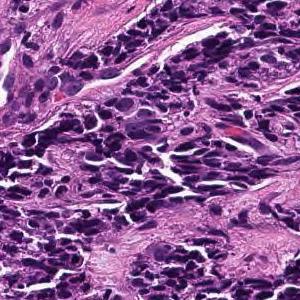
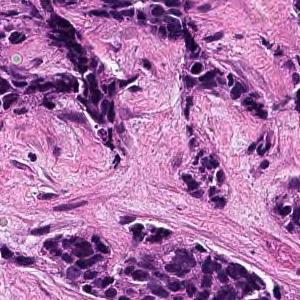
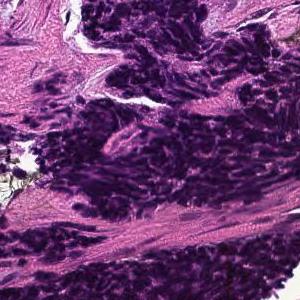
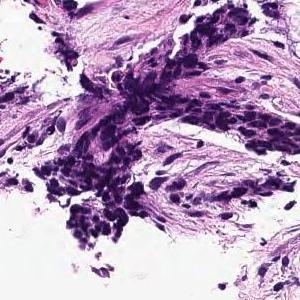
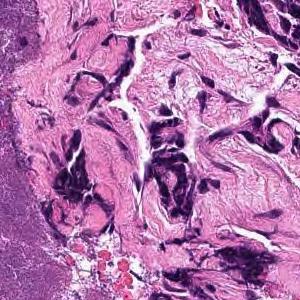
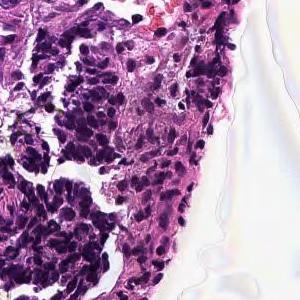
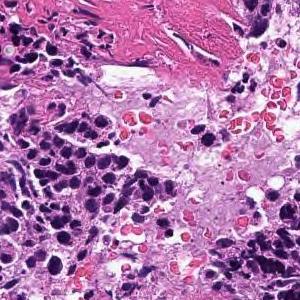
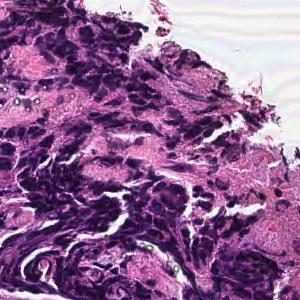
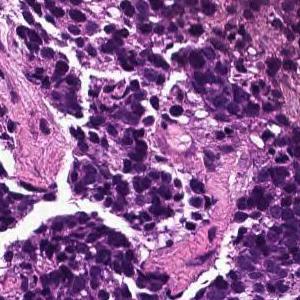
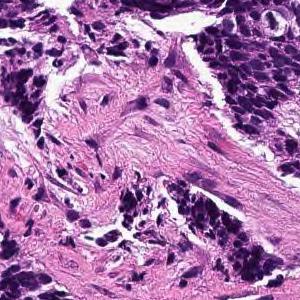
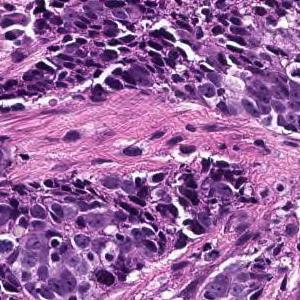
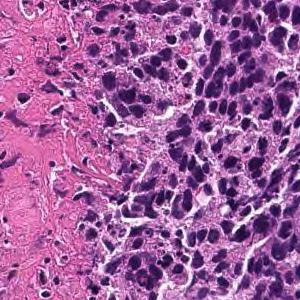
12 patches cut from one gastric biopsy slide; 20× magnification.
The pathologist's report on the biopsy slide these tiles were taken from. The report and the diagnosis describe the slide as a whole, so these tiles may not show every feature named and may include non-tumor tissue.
The superficial epithelium shows a large sheet or alveolar shape, and tumor tissue infiltrating without irregular ducts is observed. Poorly differentiated adenocarcinoma, solid-type
Histologic type: Poorly differentiated adenocarcinoma, solid type (Japanese Classification of Gastric Carcinoma). The WHO 2019 equivalent is tubular adenocarcinoma, poorly differentiated.
